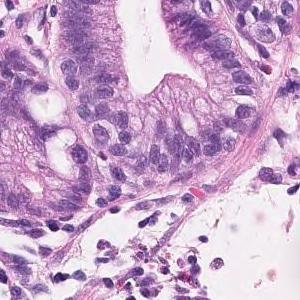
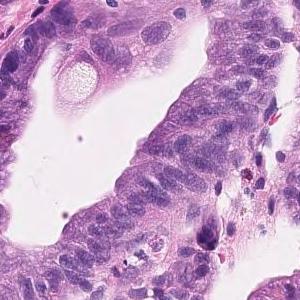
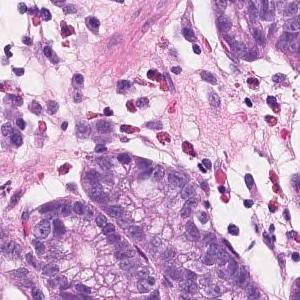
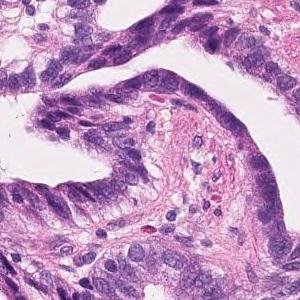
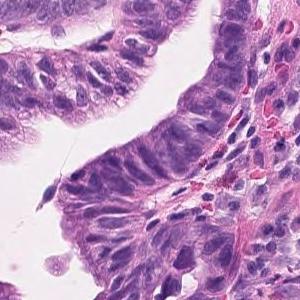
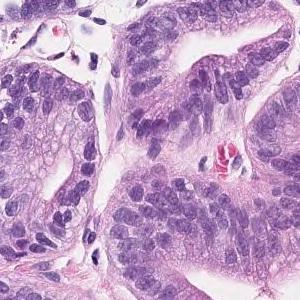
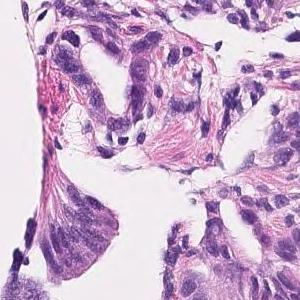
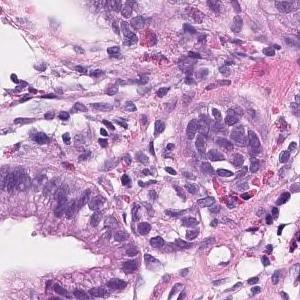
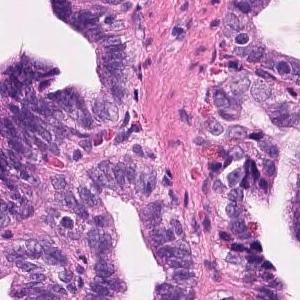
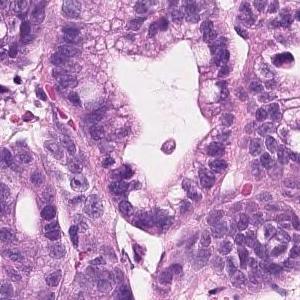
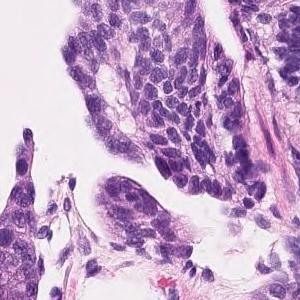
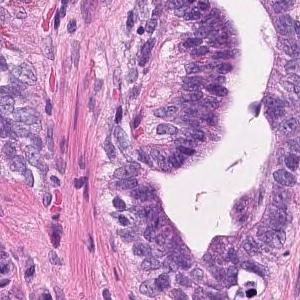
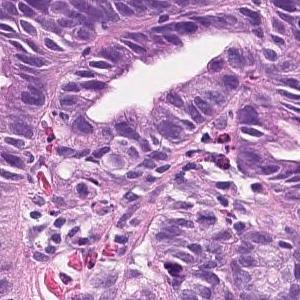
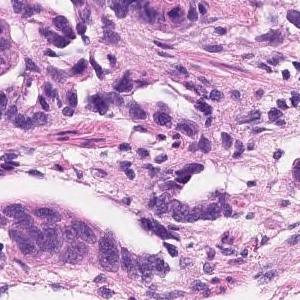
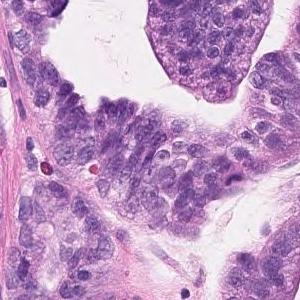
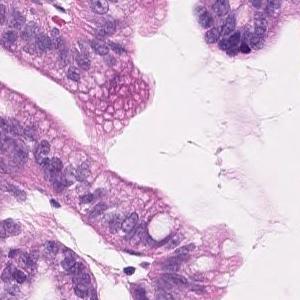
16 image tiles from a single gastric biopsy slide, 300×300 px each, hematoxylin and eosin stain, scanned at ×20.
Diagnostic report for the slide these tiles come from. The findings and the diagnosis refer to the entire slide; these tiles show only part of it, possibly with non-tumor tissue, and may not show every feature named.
Tumor cells are large, highly columnar, large club-shaped nuclei, and are associated with chromatin aggregation. Papillary adenocarcinoma.
